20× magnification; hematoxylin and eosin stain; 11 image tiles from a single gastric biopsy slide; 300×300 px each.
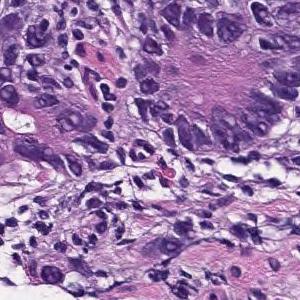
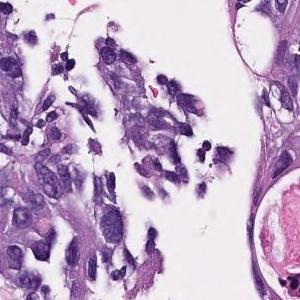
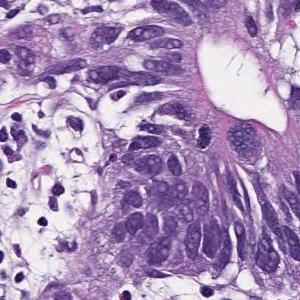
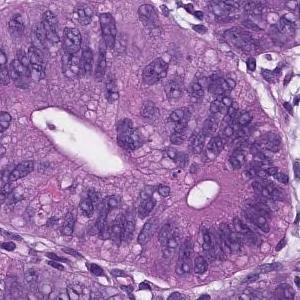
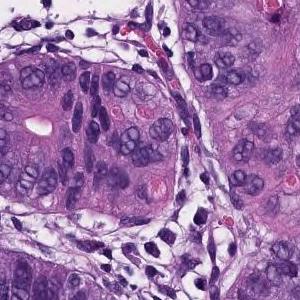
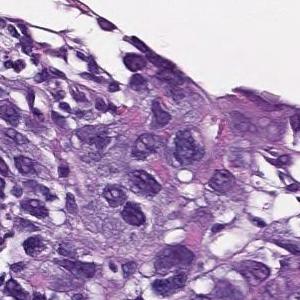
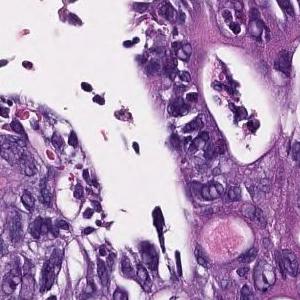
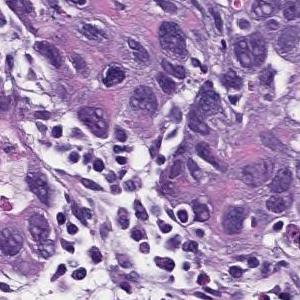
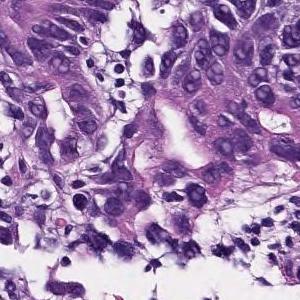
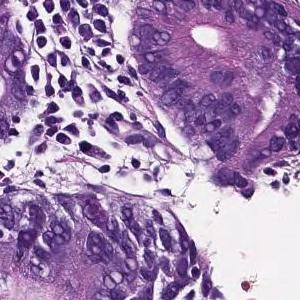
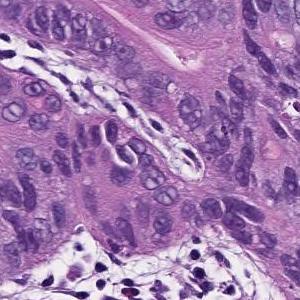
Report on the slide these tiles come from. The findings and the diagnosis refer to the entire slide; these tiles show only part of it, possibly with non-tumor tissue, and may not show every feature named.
In the superficial epithelium, tumor tissue that invades by forming medium-sized to small, irregular ducts is observed. moderately differentiated tubular adenocarcinoma.
